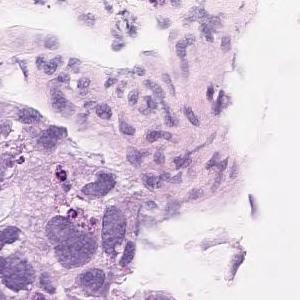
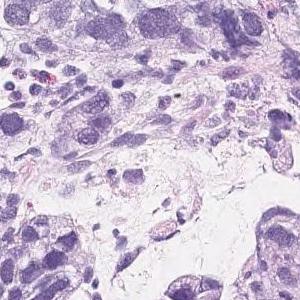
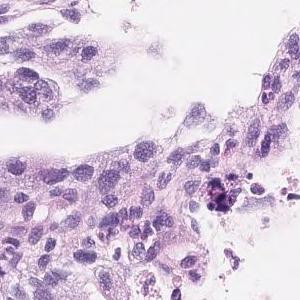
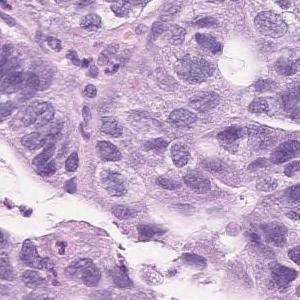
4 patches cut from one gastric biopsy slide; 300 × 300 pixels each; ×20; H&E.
Pathology report for the slide these tiles were cut from. The report and the diagnosis describe the slide as a whole, so these tiles may not show every feature named and may include non-tumor tissue.
On the superficial epithelium, tumor tissue consisting of large, irregular glandular ducts partially fused and infiltrated is observed. Well to moderately differentiated tubular adenocarcinoma (well differentiated tubular adenocarcinoma, moderately differentiated tubular adenocarcinoma)
Histological subtype: Well to moderately differentiated tubular adenocarcinoma.
